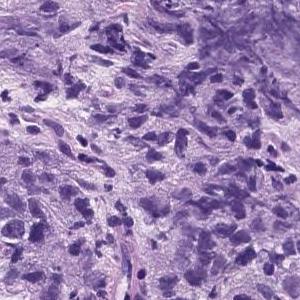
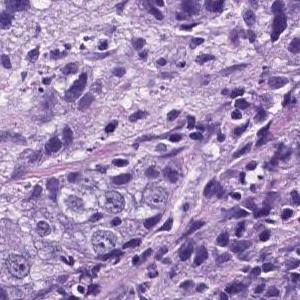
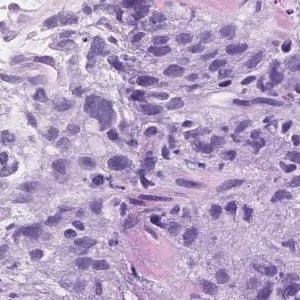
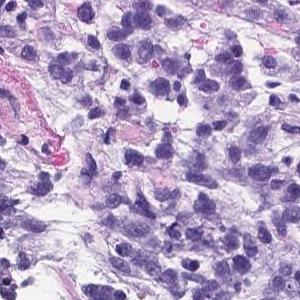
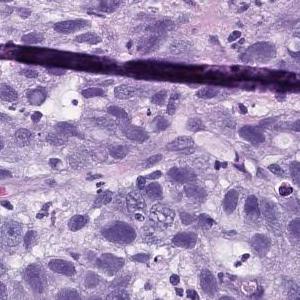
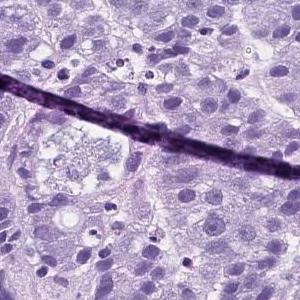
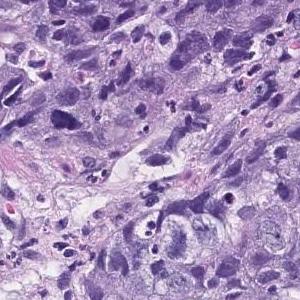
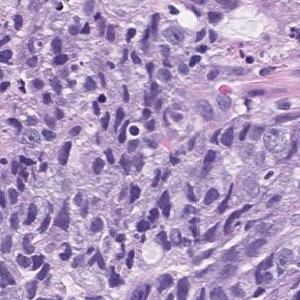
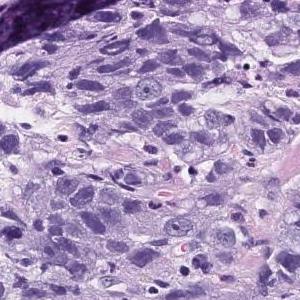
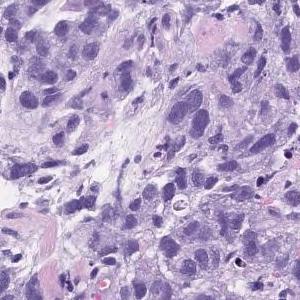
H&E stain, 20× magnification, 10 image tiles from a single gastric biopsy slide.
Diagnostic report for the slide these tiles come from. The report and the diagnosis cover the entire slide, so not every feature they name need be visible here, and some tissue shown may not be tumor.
Atypical l cells with atypical nuclei forming solid vesicles or small irregular atypical ducts that proliferate in a complex manner. poorly differentiated adenocarcinoma, solid type, moderately differentiated tubular adenocarcinoma
The solid type named here is a Japanese Classification of Gastric Carcinoma category; WHO 2019 calls it tubular adenocarcinoma, poorly differentiated.
